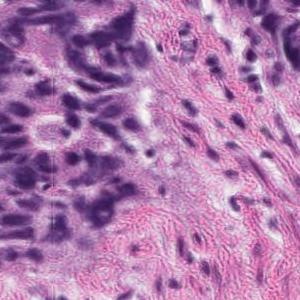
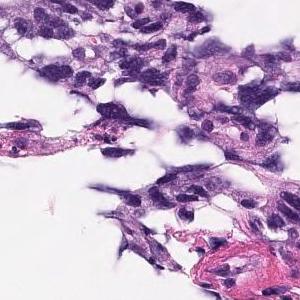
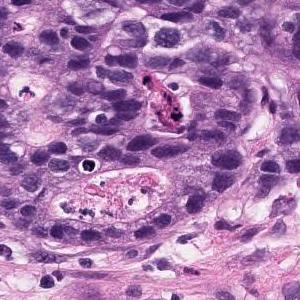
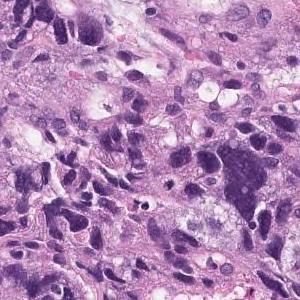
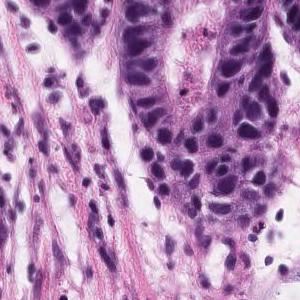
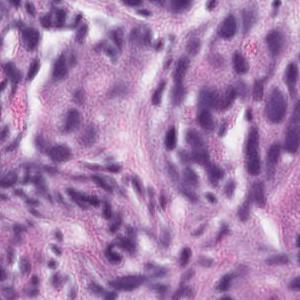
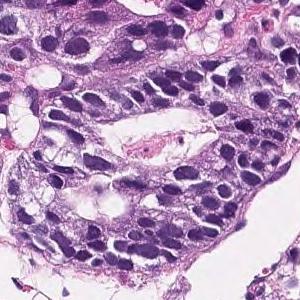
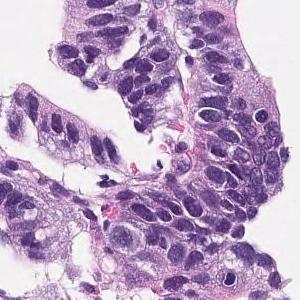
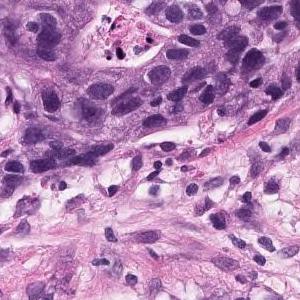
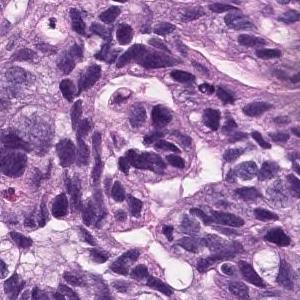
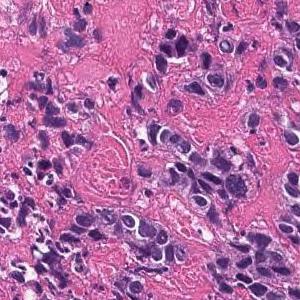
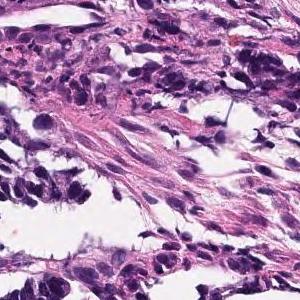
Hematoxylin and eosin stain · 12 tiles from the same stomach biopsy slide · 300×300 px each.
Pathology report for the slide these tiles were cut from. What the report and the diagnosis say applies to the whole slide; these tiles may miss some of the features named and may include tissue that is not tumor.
Medium to small, irregular glandular ducts are formed in the superficial epithelium, and in some cases, the glandular ducts are fused to show solid alveolar lesions and infiltrating tumor tissue is observed. Moderately to poorly differentiated adenocarcinoma.
